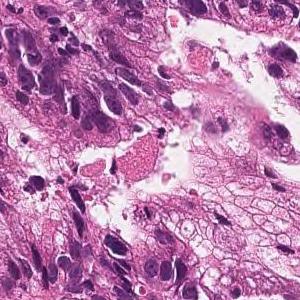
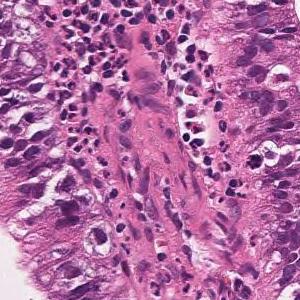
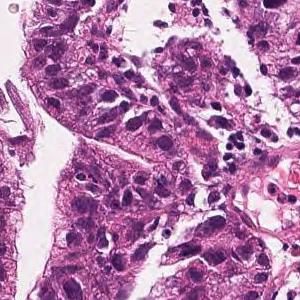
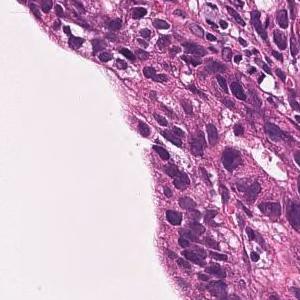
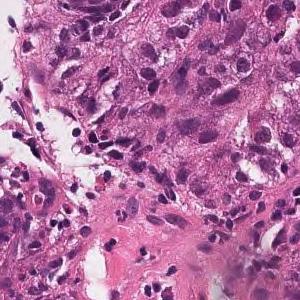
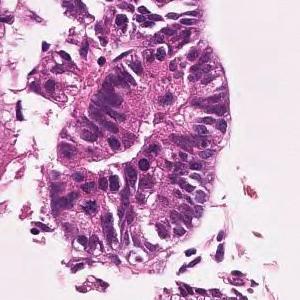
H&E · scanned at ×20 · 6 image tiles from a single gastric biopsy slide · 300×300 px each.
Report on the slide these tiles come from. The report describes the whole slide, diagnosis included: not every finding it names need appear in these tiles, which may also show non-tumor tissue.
On the superficial epithelium, tumor tissue consisting of large, irregular glandular ducts partially fused and infiltrated is observed. Well to moderately differentiated tubular adenocarcinoma (well differentiated tubular adenocarcinoma, moderately differentiated tubular adenocarcinoma)
Histological subtype: Well to moderately differentiated tubular adenocarcinoma.
